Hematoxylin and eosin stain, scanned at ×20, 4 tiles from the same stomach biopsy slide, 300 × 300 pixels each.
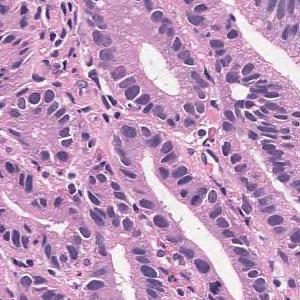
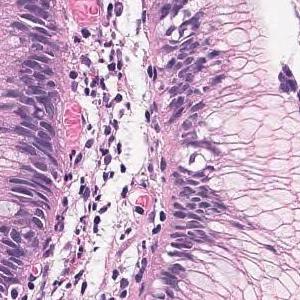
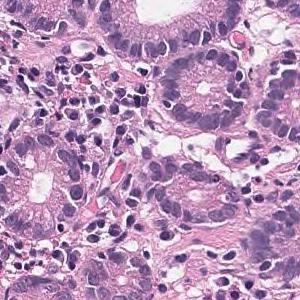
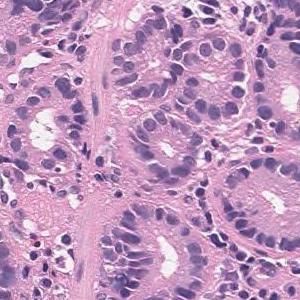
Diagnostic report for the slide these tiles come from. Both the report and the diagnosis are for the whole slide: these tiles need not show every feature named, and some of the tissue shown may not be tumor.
Tumor tissue that grows tubular from the surface to the glandular fossa is seen. Adenocarcinoma.
Subtype: Well differentiated tubular adenocarcinoma.
